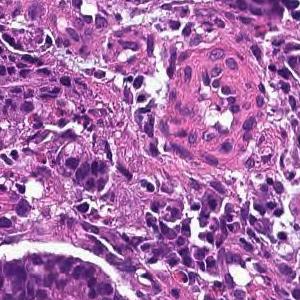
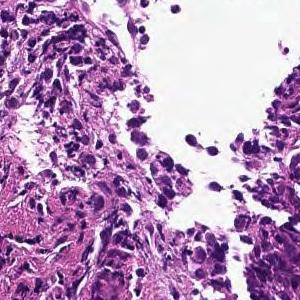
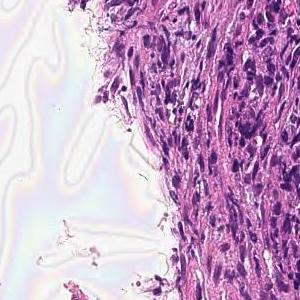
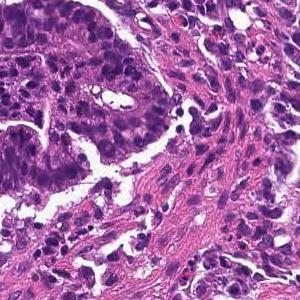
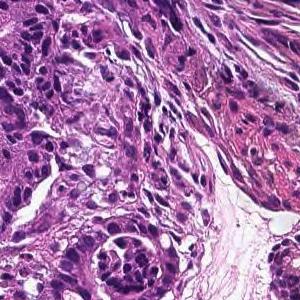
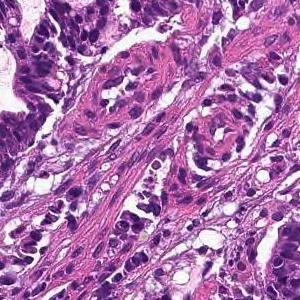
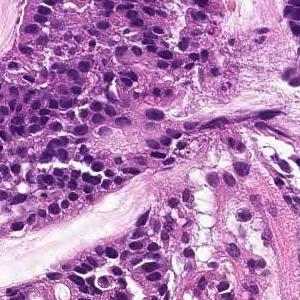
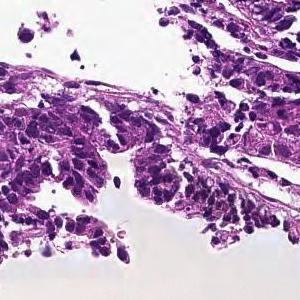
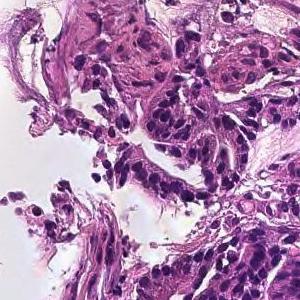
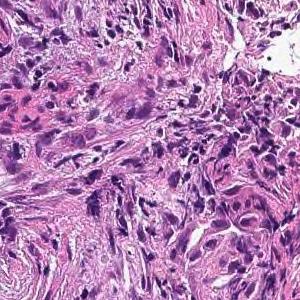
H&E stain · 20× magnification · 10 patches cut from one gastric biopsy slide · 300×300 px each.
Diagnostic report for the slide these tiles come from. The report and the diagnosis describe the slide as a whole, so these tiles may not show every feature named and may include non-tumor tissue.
In the superficial epithelium, tumor tissue that invades by forming medium-sized to small, irregular ducts is observed. moderately differentiated tubular adenocarcinoma.
